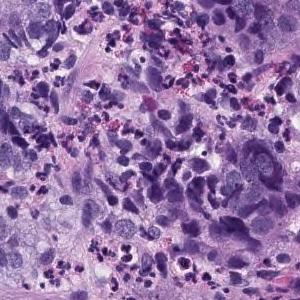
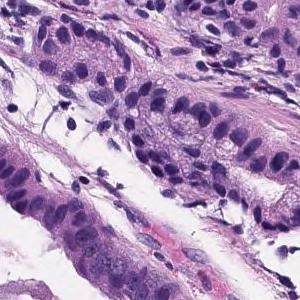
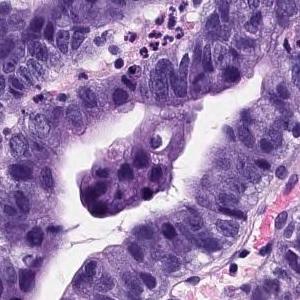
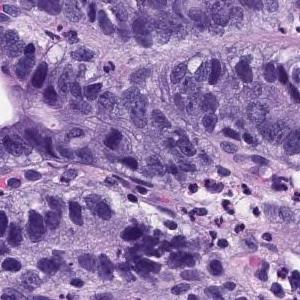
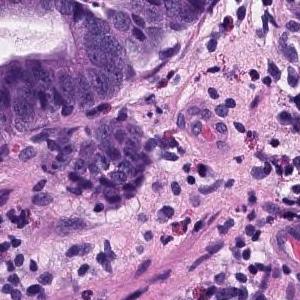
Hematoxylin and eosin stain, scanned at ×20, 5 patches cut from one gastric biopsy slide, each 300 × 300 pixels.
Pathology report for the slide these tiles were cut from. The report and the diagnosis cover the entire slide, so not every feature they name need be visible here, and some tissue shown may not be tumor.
Tumor tissue consisting of large papillary structures is found in the superficial epithelium. Papillary adenocarcinoma.
